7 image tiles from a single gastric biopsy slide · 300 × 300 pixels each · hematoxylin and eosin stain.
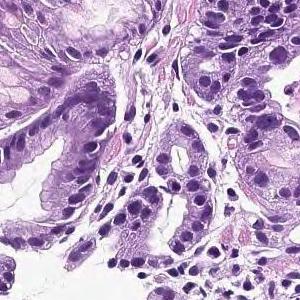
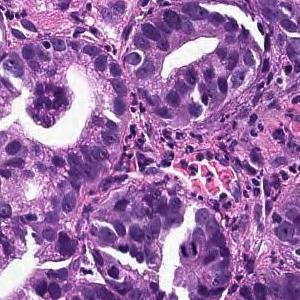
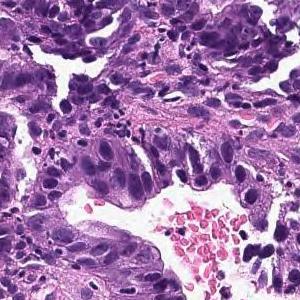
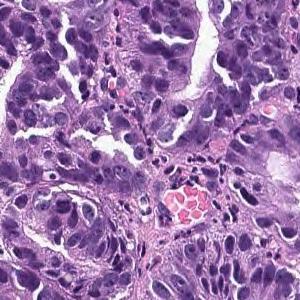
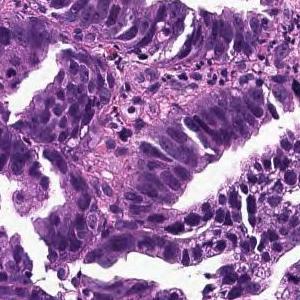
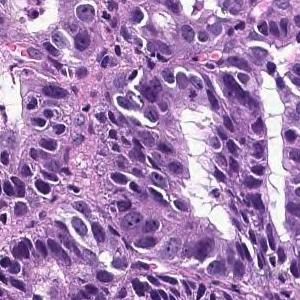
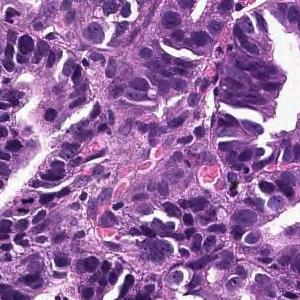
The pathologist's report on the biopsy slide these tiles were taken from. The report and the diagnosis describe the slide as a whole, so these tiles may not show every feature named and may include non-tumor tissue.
On the superficial epithelium, tumor tissue that infiltrates by forming medium-sized papillary or small irregular ducts is observed. Papillary adenocarcinoma
